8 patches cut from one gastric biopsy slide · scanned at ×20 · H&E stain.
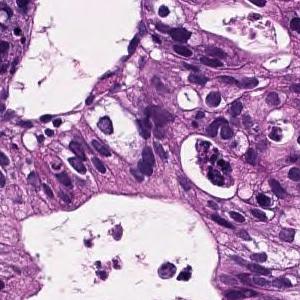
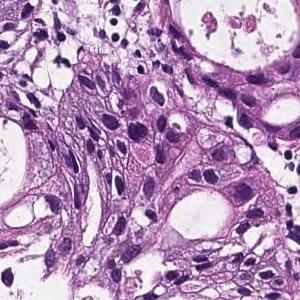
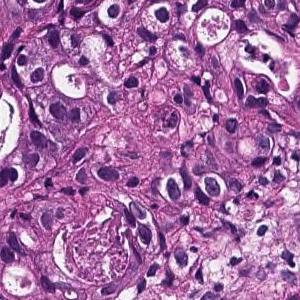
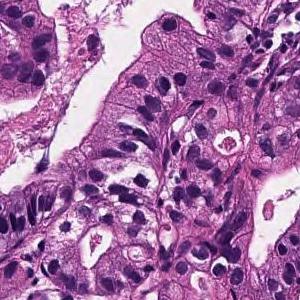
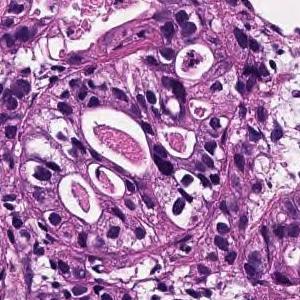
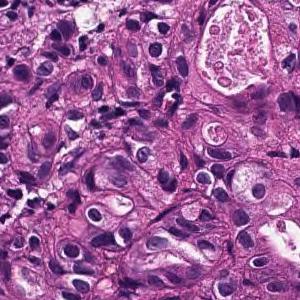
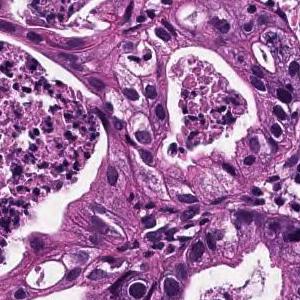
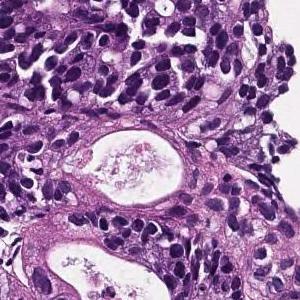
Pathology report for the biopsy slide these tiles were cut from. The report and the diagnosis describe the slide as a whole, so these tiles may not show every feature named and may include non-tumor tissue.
From the superficial epithelium to the muscularis mucosae, tumor tissue infiltrating by forming medium-sized irregular gland ducts is observed. Large tumor cells exhibit large nucleus and hyperchromatism. Well differentiated tubular adenocarcinoma
